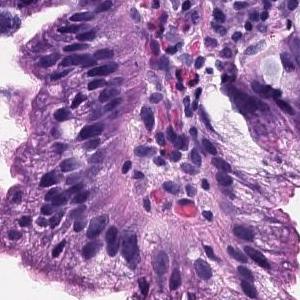
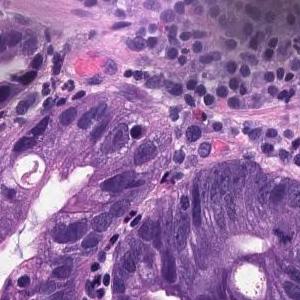
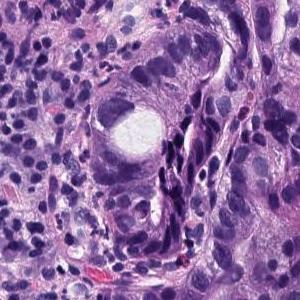
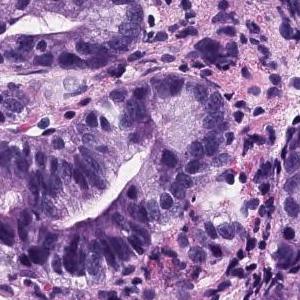
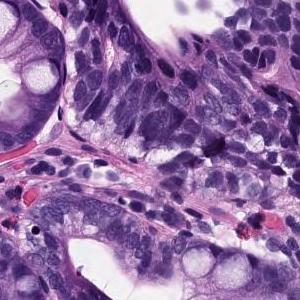
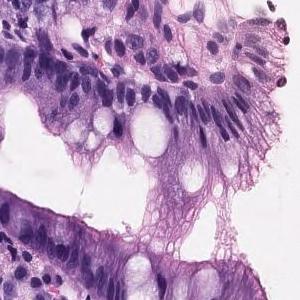
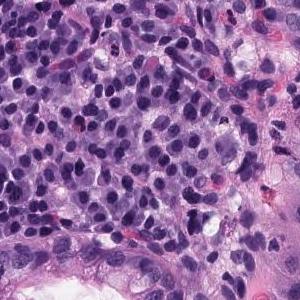
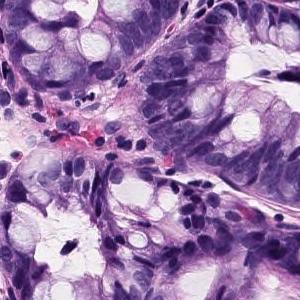
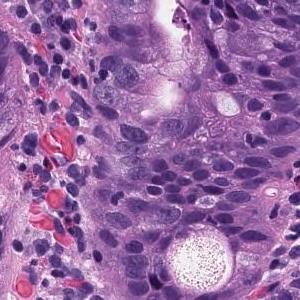
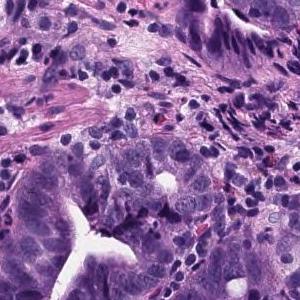
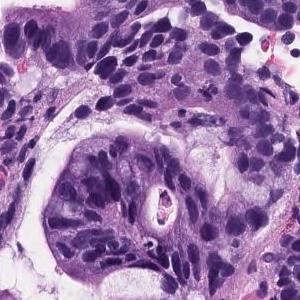
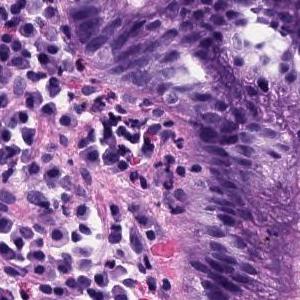
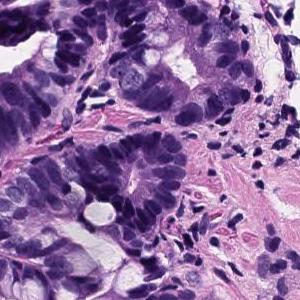
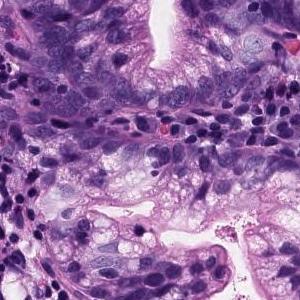
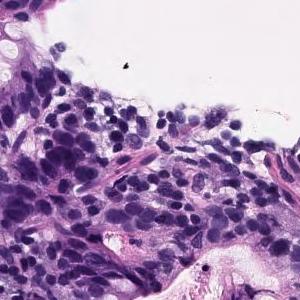
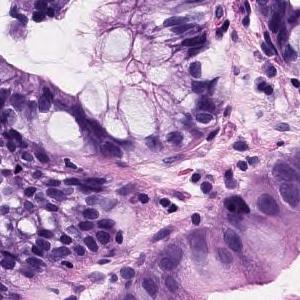
16 tiles from the same stomach biopsy slide, 300×300 px each, H&E, ×20.
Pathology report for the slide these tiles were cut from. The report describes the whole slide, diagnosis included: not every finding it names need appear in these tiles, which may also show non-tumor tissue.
Tumor cells with strong nuclear atypia proliferate invasively, forming small to medium-sized irregular shaped ducts. moderately differentiated tubular adenocarcinoma
